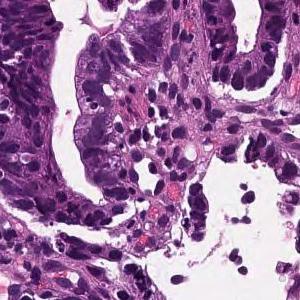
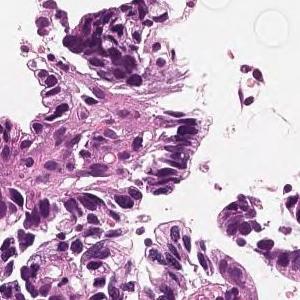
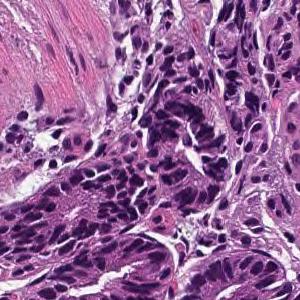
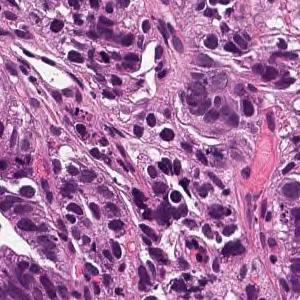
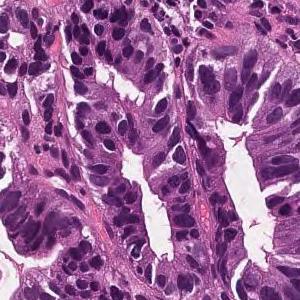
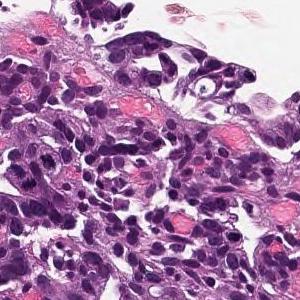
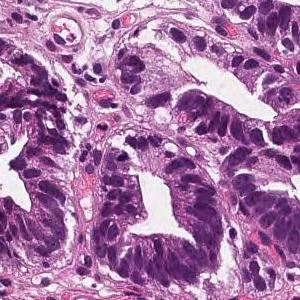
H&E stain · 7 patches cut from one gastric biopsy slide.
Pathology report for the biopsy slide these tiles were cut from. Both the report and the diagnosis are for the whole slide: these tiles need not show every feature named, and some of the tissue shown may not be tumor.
From the superficial epithelium to the muscularis mucosae, tumor tissue consisting of medium-sized and irregular glandular ducts infiltrating is observed. Well differentiated tubular adenocarcinoma
